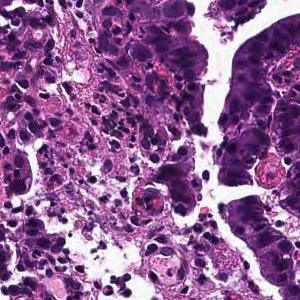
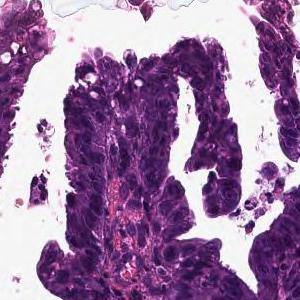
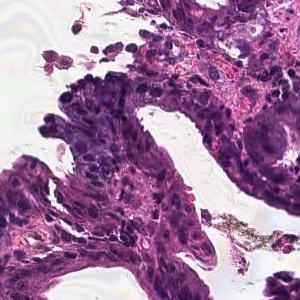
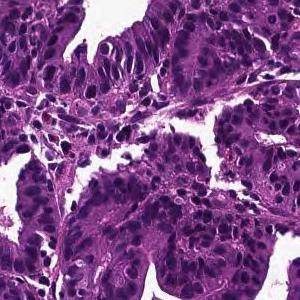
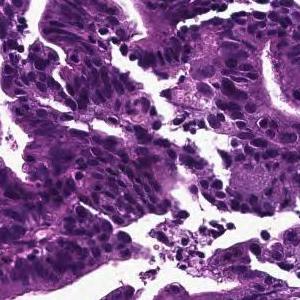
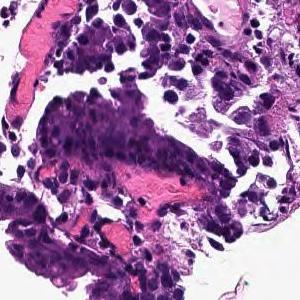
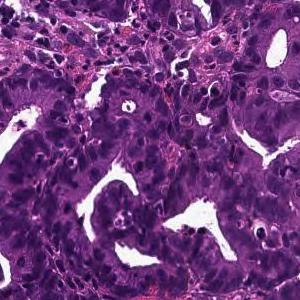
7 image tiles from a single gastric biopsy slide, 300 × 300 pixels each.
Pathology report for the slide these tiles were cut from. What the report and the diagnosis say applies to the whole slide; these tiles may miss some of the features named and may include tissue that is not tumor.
Tumor cells are large, highly columnar, large club-shaped nuclei, and are associated with chromatin aggregation. Papillary adenocarcinoma.
